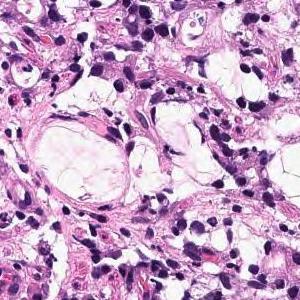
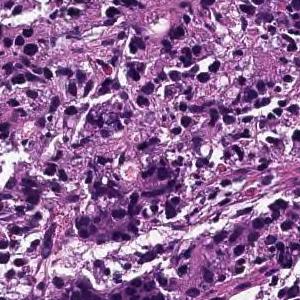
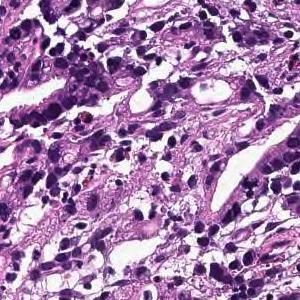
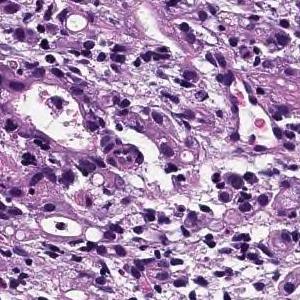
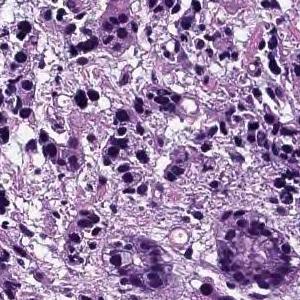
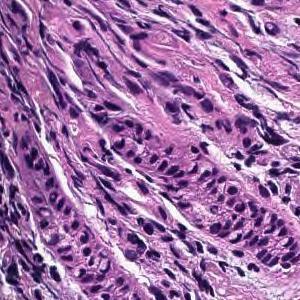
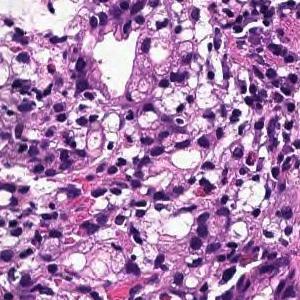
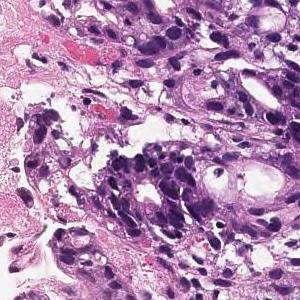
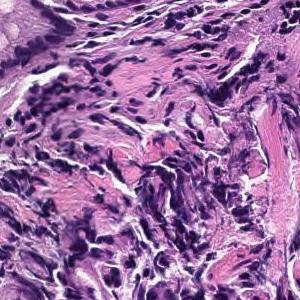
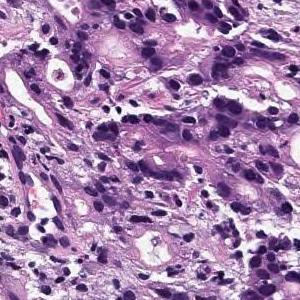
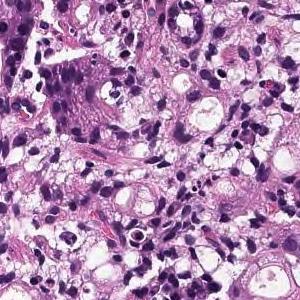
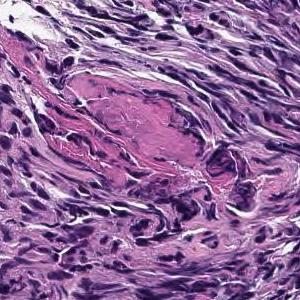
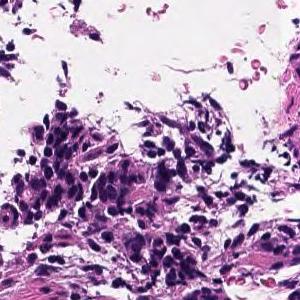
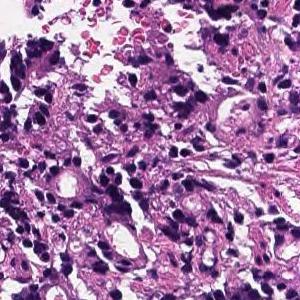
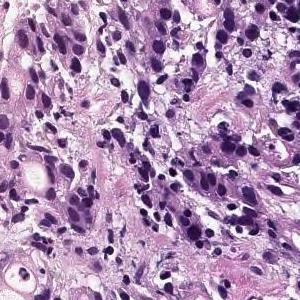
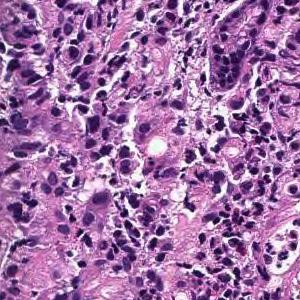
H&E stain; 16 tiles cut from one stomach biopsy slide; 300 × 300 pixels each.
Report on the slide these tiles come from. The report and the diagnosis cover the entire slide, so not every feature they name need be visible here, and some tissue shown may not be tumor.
Tumor tissue consisting of cord-like or small, irregular glandular ducts fused and infiltrated is observed in the superficial epithelium. Poorly differentiated adenocarcinoma, non-solid type
The non-solid type named here is a Japanese Classification of Gastric Carcinoma category.
